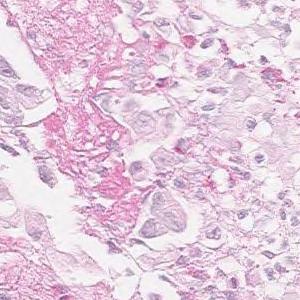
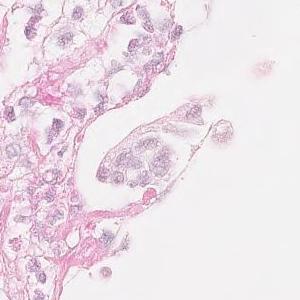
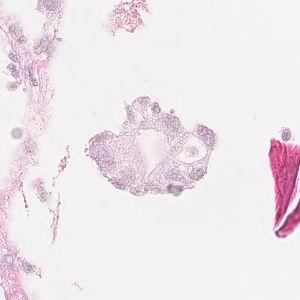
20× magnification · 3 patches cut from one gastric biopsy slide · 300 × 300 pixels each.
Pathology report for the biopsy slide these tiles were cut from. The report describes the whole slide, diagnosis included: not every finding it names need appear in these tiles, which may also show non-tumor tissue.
It consists of irregularly fused small atypical ducts and a large amount of necrotic tissue debris. moderately differentiated tubular adenocarcinoma
